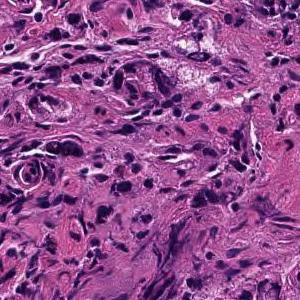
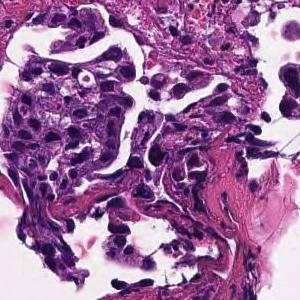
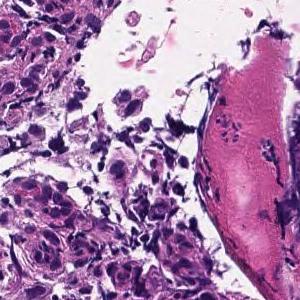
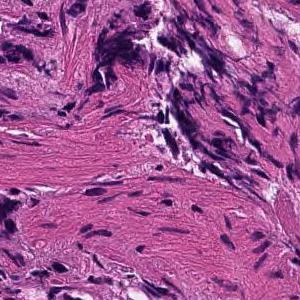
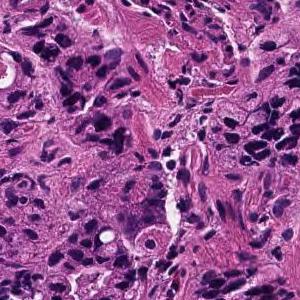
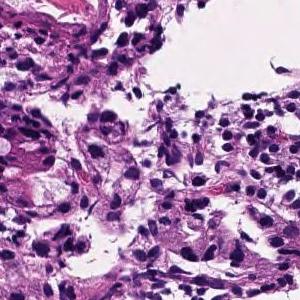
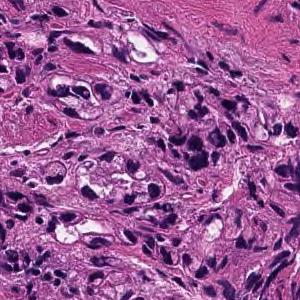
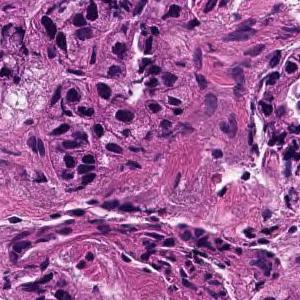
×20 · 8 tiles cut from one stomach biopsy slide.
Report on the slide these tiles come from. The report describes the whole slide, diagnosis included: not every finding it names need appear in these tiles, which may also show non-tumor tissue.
In the superficial epithelium, tumor tissue that invades by forming medium-sized to small, irregular ducts is observed. moderately differentiated tubular adenocarcinoma.
